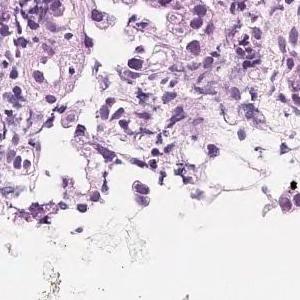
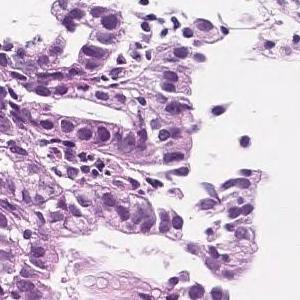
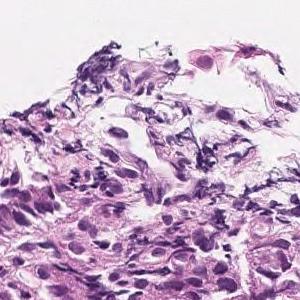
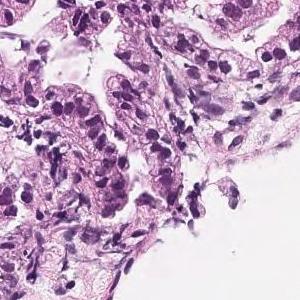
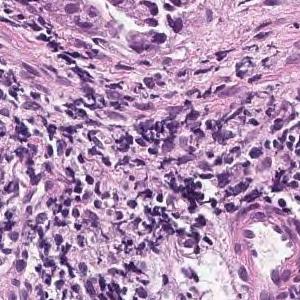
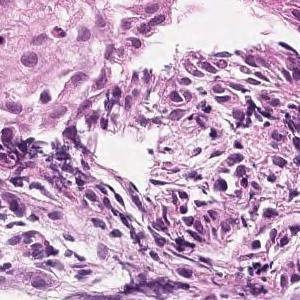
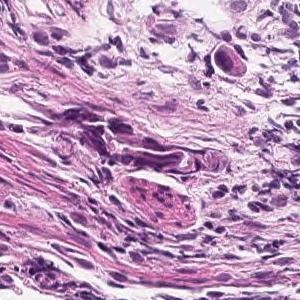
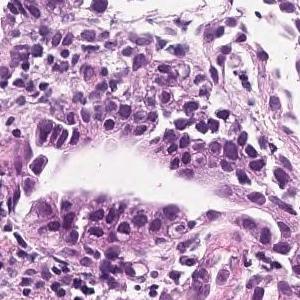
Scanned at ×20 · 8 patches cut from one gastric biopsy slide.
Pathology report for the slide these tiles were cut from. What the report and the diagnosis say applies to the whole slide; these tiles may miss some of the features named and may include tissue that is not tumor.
In the superficial epithelium, tumor tissue that invades by forming medium-sized to small, irregular ducts is observed. moderately differentiated tubular adenocarcinoma.
